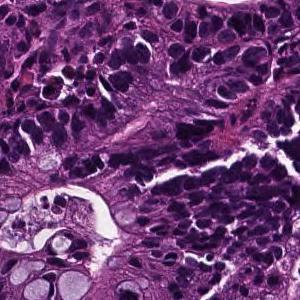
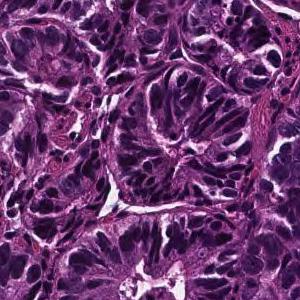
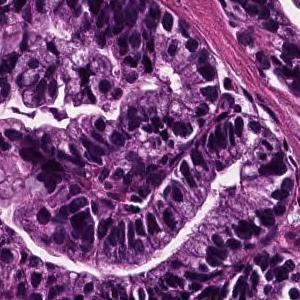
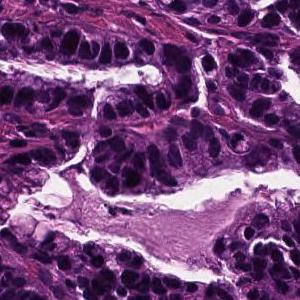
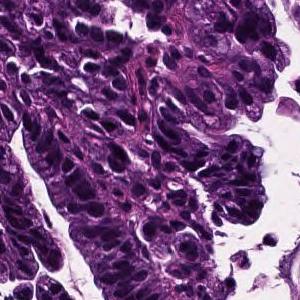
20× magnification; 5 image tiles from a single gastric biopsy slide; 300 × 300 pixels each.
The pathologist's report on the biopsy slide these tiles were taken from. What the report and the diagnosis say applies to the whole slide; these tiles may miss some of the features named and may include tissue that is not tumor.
In the superficial epithelium, tumor tissue that invades by forming medium-sized to small, irregular ducts is observed. Well differentiated tubular adenocarcinoma.
